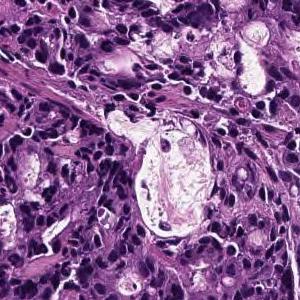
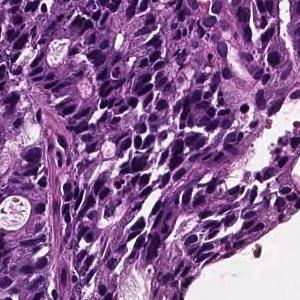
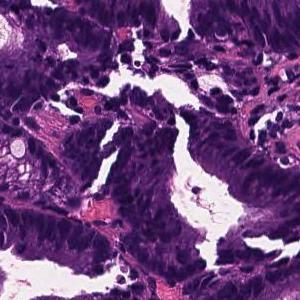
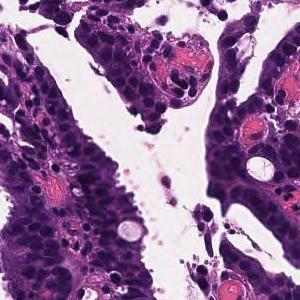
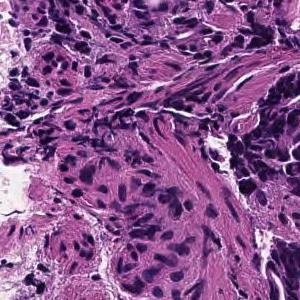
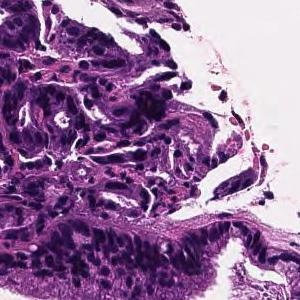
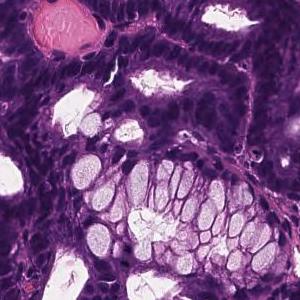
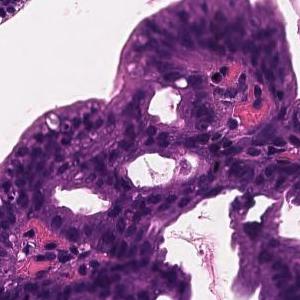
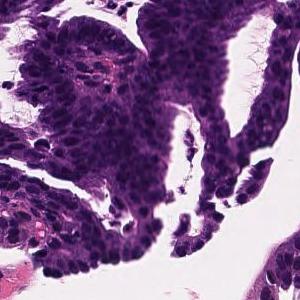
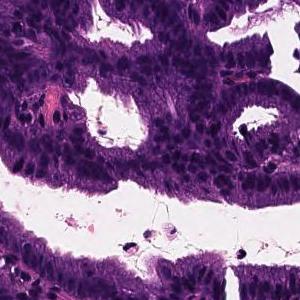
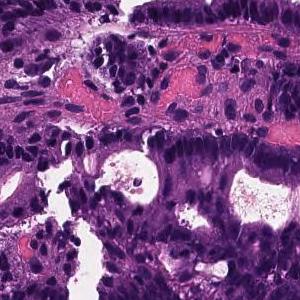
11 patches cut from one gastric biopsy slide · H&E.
Pathology report for the biopsy slide these tiles were cut from. Both the report and the diagnosis are for the whole slide: these tiles need not show every feature named, and some of the tissue shown may not be tumor.
In the superficial epithelium, tumor tissue that invades by forming medium-sized to small, irregular ducts is observed. moderately differentiated tubular adenocarcinoma.
